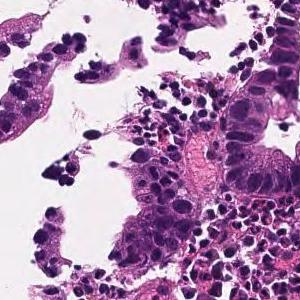
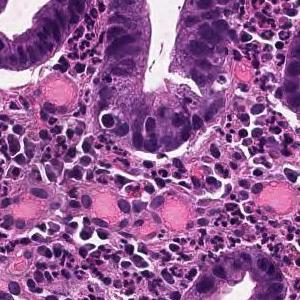
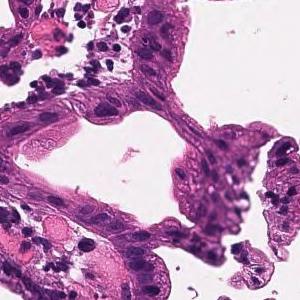
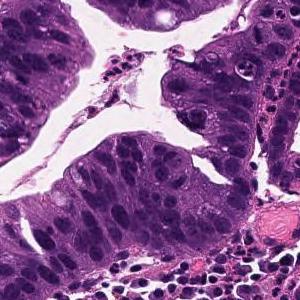
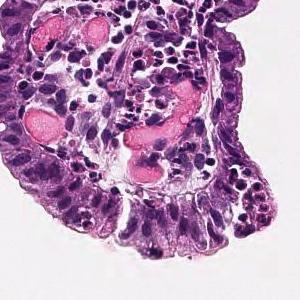
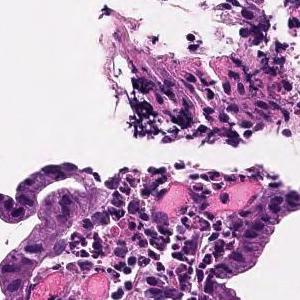
6 tiles from the same stomach biopsy slide, 300 × 300 pixels each, scanned at ×20, H&E stain.
The pathologist's report on the biopsy slide these tiles were taken from. The report and the diagnosis describe the slide as a whole, so these tiles may not show every feature named and may include non-tumor tissue.
From the superficial epithelium to the muscularis mucosae, tumor tissue consisting of medium-sized and irregular glandular ducts infiltrating is observed. Well differentiated tubular adenocarcinoma
